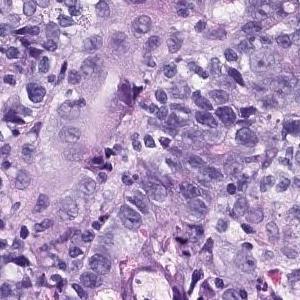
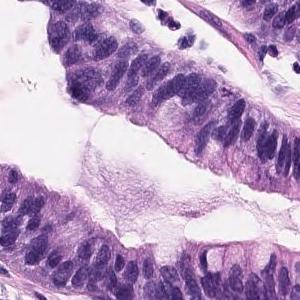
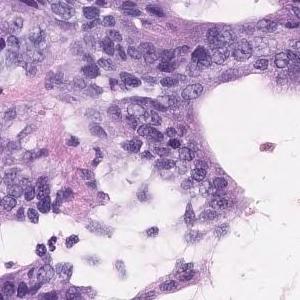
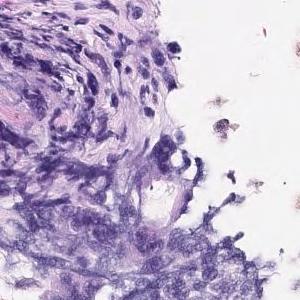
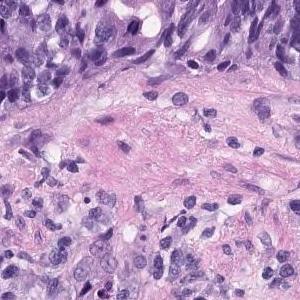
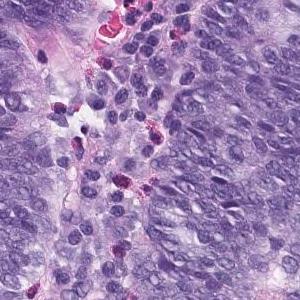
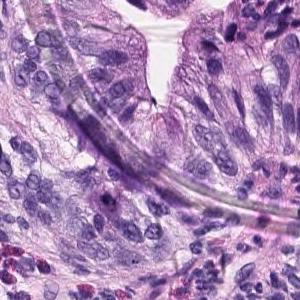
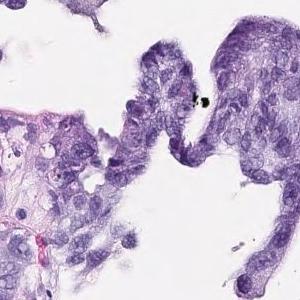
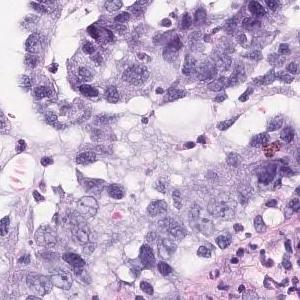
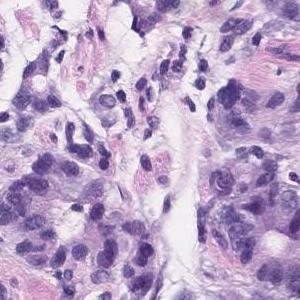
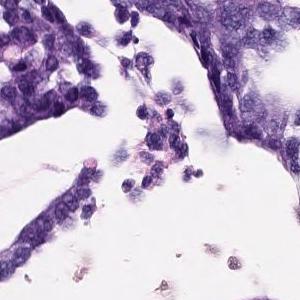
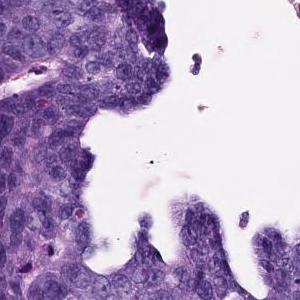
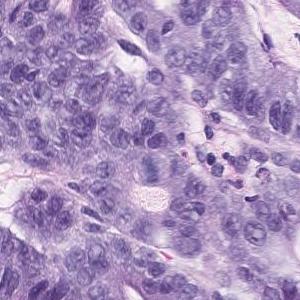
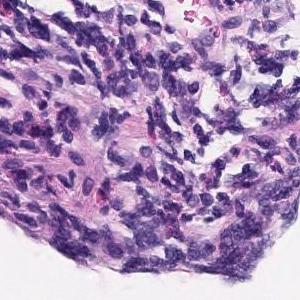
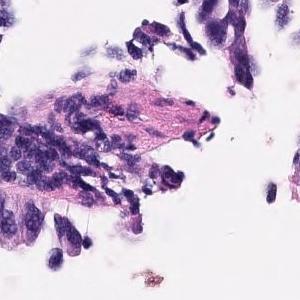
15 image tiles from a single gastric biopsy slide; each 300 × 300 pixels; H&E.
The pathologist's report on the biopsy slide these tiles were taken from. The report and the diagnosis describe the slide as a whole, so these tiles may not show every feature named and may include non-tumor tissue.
In the superficial epithelium, tumor tissue that invades by forming medium-sized to small, irregular ducts is observed. Well to moderately differentiated tubular adenocarcinoma.
